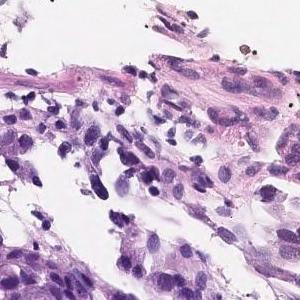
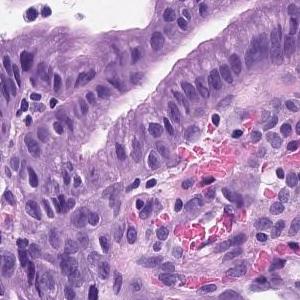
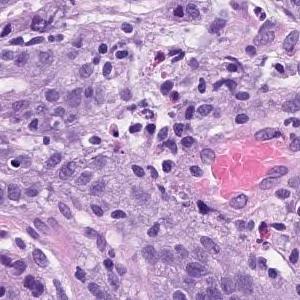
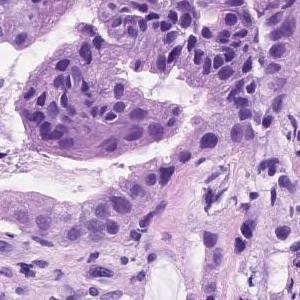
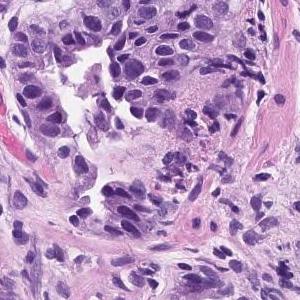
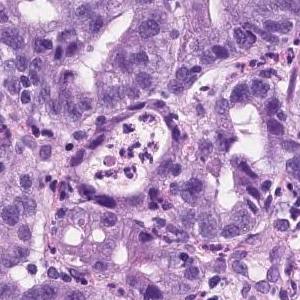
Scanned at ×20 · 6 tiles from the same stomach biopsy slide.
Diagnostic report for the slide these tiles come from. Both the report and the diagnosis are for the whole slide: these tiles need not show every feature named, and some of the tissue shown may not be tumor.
Tumor tissue consisting of medium-sized and irregular ducts is observed infiltrating in the superficial epithelium. Tumor cells are highly columnar, with nuclei aligned basolaterally and polarized. Well differentiated tubular adenocarcinoma.
